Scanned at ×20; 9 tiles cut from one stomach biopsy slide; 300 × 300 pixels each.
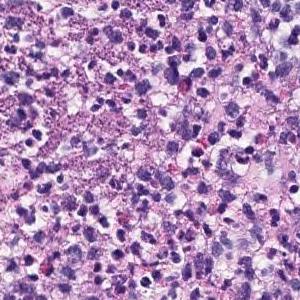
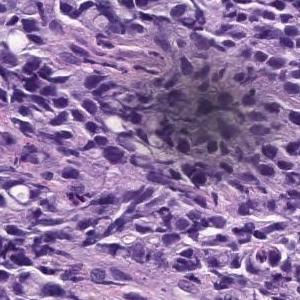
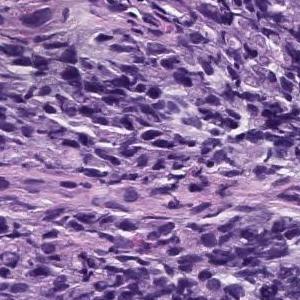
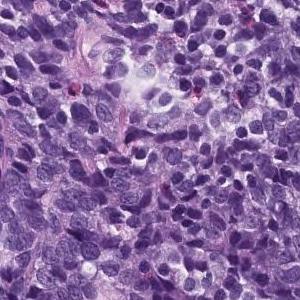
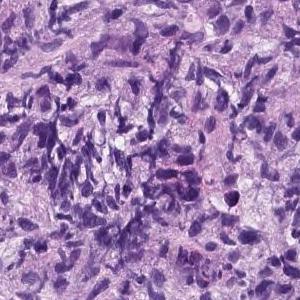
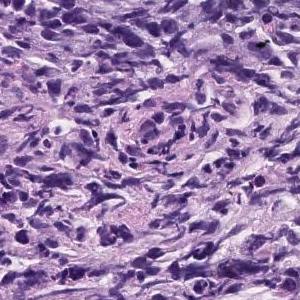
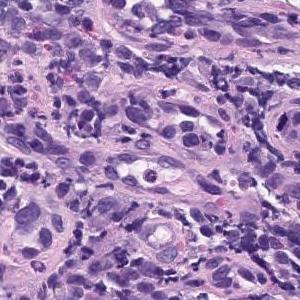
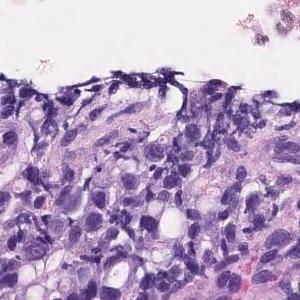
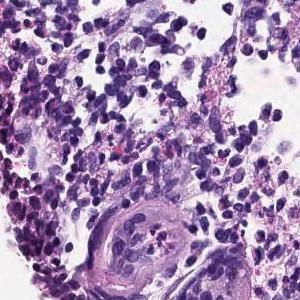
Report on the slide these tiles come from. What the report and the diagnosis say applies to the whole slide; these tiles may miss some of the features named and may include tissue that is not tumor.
The superficial epithelium shows a large sheet-like shape, and some tumor tissue infiltrates with small irregular ducts. Poorly differentiated adenocarcinoma, solid-type
Tumor subtype: poorly differentiated adenocarcinoma, solid type, a category of the Japanese Classification of Gastric Carcinoma; in the WHO 2019 classification it is tubular adenocarcinoma, poorly differentiated.
